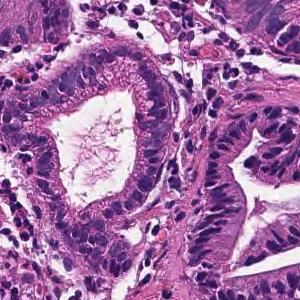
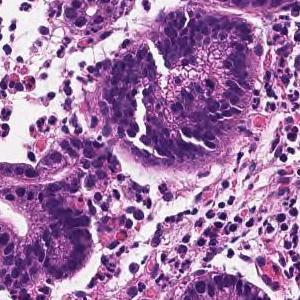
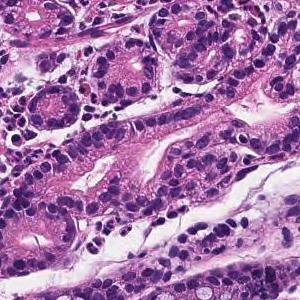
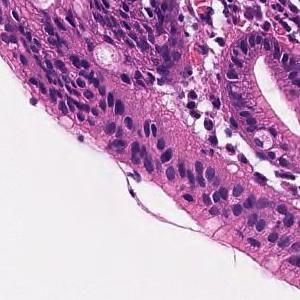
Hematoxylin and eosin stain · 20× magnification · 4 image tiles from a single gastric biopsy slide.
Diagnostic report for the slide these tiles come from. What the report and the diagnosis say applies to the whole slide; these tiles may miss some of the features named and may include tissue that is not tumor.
Tumor tissue infiltrated and proliferated with small to medium-sized irregular tubules is observed in the superficial epithelium. Well differentiated tubular adenocarcinoma
